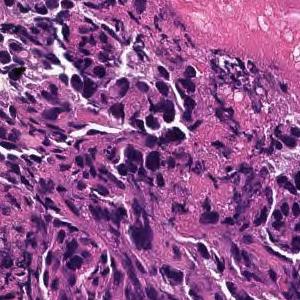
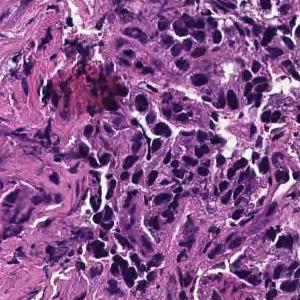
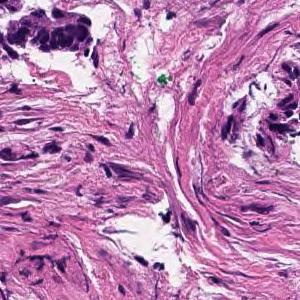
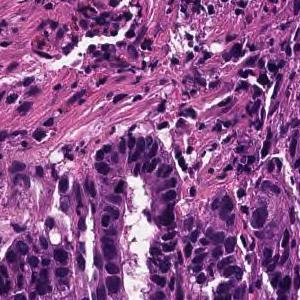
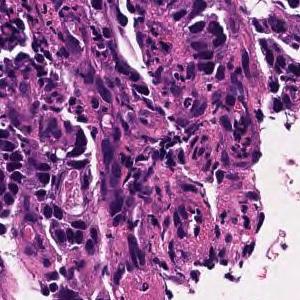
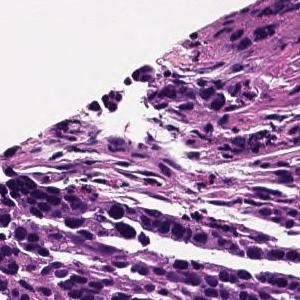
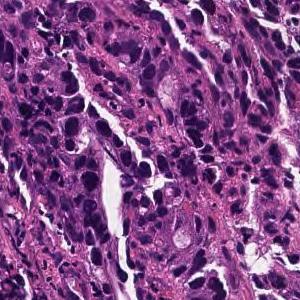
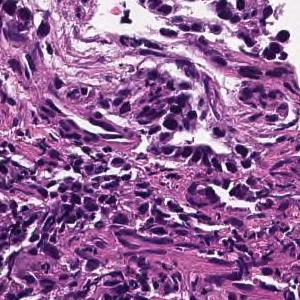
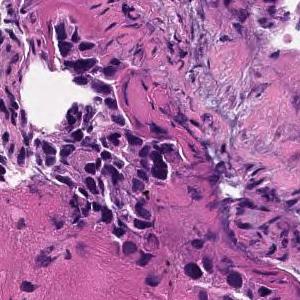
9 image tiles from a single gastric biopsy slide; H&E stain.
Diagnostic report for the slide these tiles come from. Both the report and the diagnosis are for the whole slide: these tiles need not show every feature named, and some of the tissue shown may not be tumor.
In the superficial epithelium, tumor tissue that invades by forming medium-sized to small, irregular ducts is observed. moderately differentiated tubular adenocarcinoma.
